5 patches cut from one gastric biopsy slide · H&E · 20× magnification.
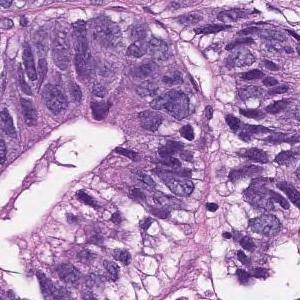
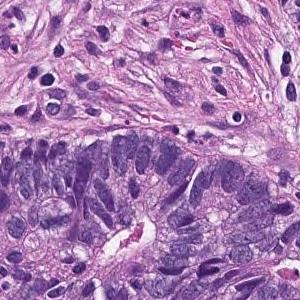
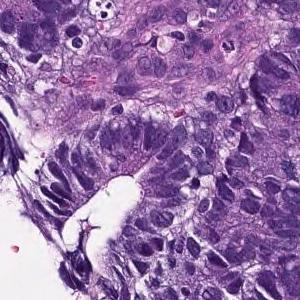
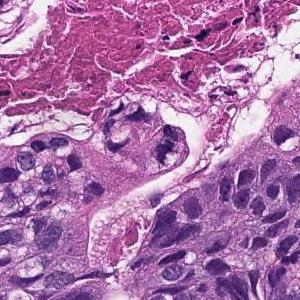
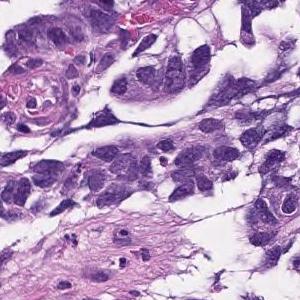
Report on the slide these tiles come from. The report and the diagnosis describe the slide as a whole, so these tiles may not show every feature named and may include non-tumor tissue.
In the superficial epithelium, tumor tissue that invades by forming medium-sized to small, irregular ducts is observed. moderately differentiated tubular adenocarcinoma.
